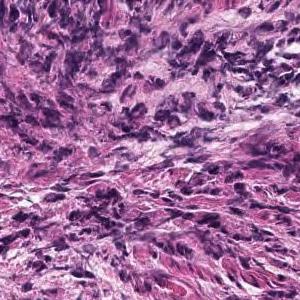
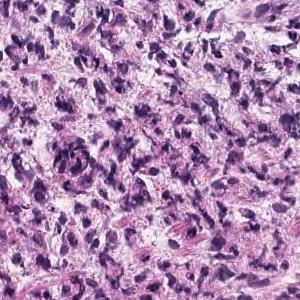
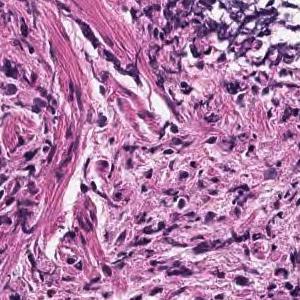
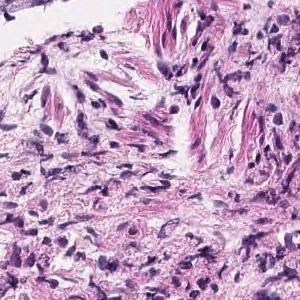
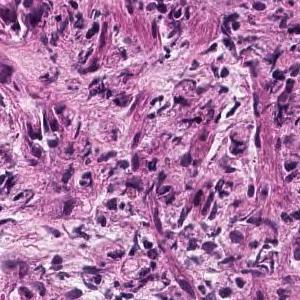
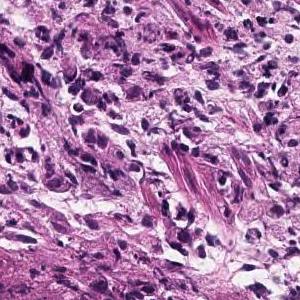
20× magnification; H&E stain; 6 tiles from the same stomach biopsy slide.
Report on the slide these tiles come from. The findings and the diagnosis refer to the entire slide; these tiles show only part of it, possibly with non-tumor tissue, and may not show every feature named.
In the lamina propria, a tumor tissue consisting of signet ring cell type atypical epithelial cells infiltrating is observed. Signet ring cell carcinoma.
